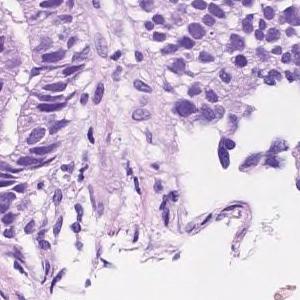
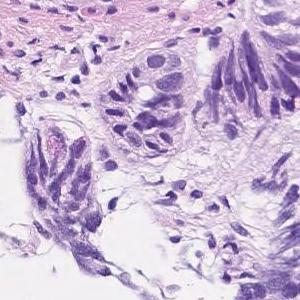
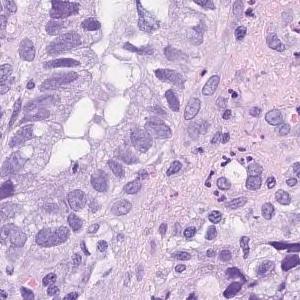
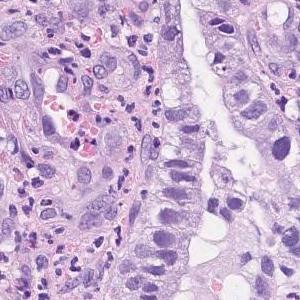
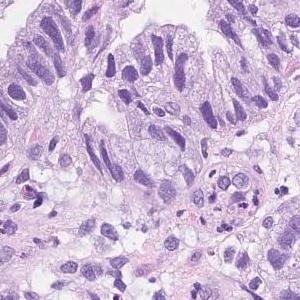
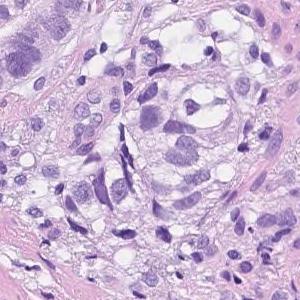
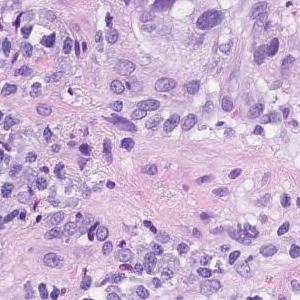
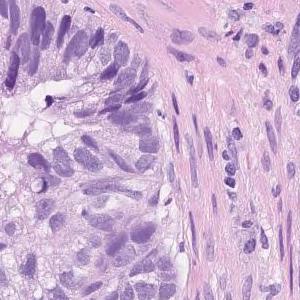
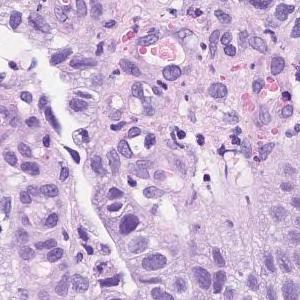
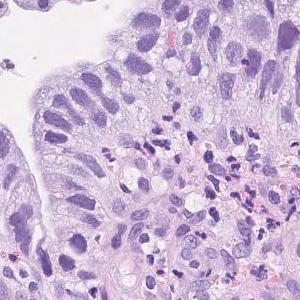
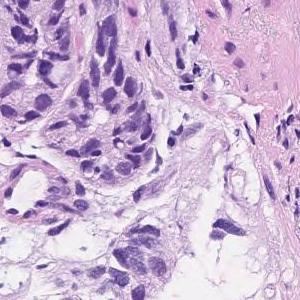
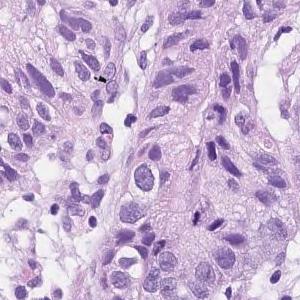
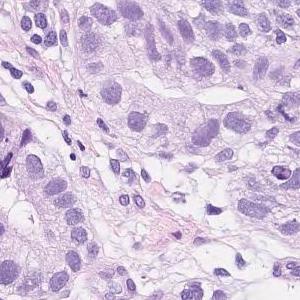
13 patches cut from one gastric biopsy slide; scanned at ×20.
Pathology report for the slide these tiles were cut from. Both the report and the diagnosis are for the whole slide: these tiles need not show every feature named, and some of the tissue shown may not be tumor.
Atypical l cells with atypical nuclei forming solid or diffuse vesicles or small irregular atypical ducts and growing in a complex manner. moderately differentiated tubular adenocarcinoma
